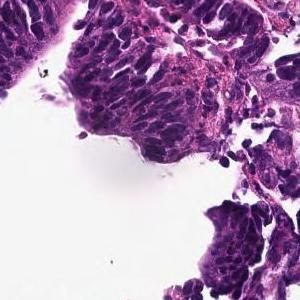
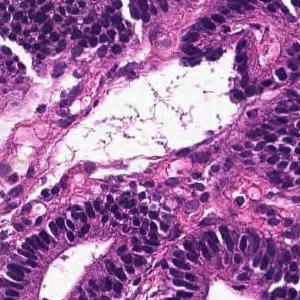
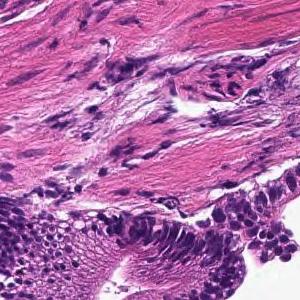
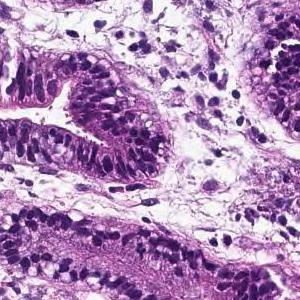
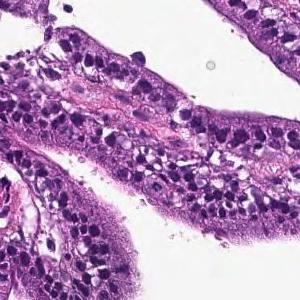
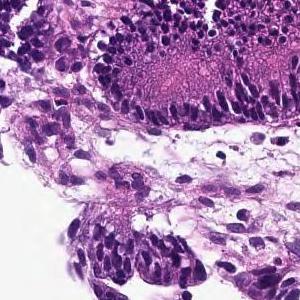
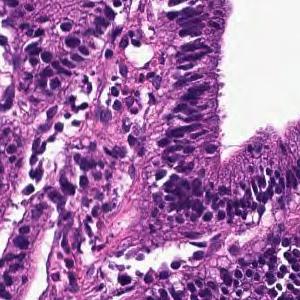
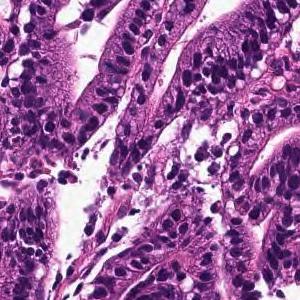
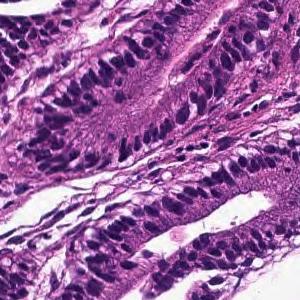
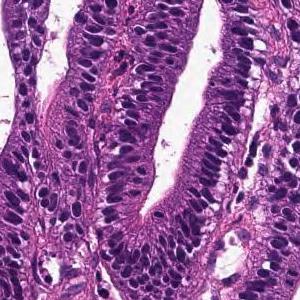
×20, H&E, 10 tiles from the same stomach biopsy slide, 300×300 px each.
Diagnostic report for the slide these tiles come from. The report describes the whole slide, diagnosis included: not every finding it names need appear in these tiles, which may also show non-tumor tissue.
On the superficial epithelium, tumor tissue that infiltrates by forming medium-sized round or small irregular ducts is observed. Papillary adenocarcinoma
